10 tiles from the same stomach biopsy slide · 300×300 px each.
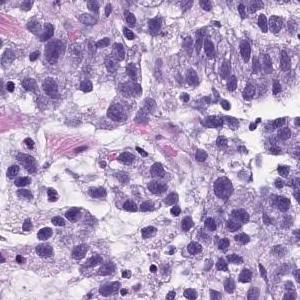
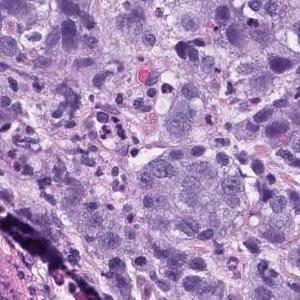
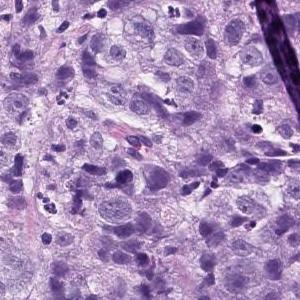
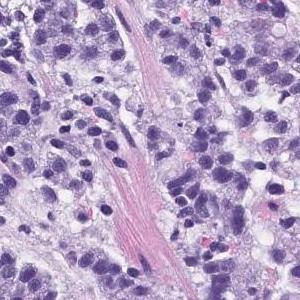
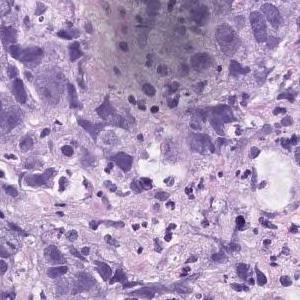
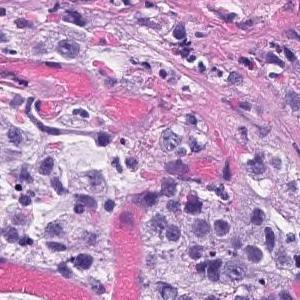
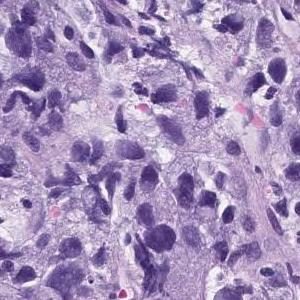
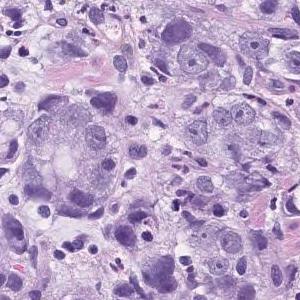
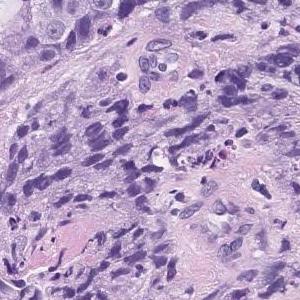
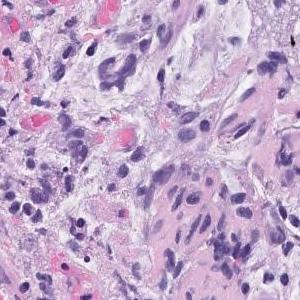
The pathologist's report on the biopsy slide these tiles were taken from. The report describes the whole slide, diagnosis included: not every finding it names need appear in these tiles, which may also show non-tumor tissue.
Atypical l cells with atypical nuclei forming solid vesicles or small irregular atypical ducts that proliferate in a complex manner. poorly differentiated adenocarcinoma, solid type, moderately differentiated tubular adenocarcinoma
"Solid type" is a category of the Japanese Classification of Gastric Carcinoma; in the WHO 2019 classification it is tubular adenocarcinoma, poorly differentiated.
